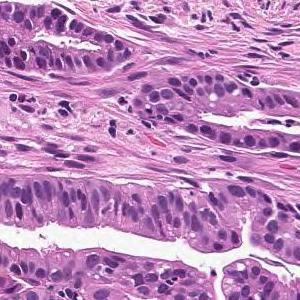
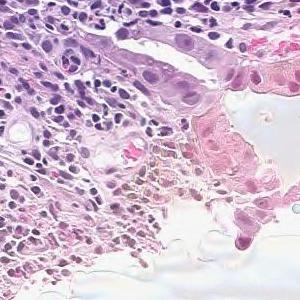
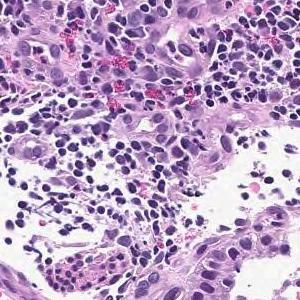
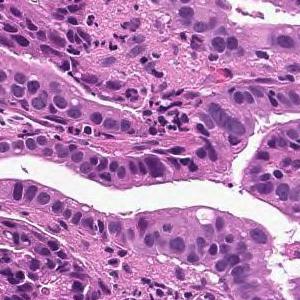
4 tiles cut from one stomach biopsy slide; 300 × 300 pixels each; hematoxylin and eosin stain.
Report on the slide these tiles come from. The report describes the whole slide, diagnosis included: not every finding it names need appear in these tiles, which may also show non-tumor tissue.
On the superficial epithelium, tumor tissue that infiltrates by forming medium-sized papillary or small irregular ducts is observed. Papillary adenocarcinoma
